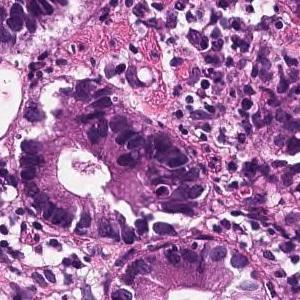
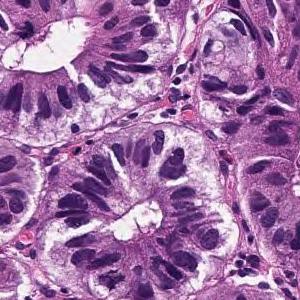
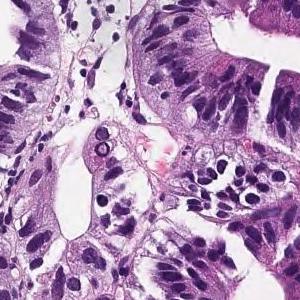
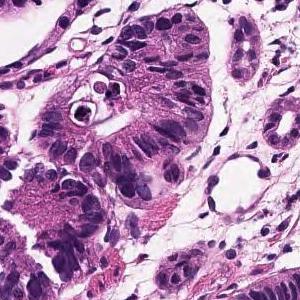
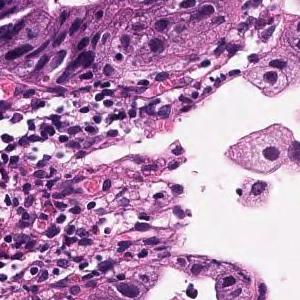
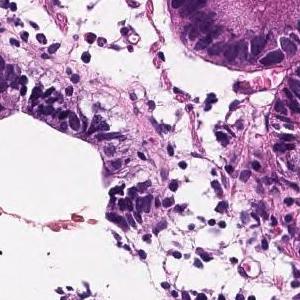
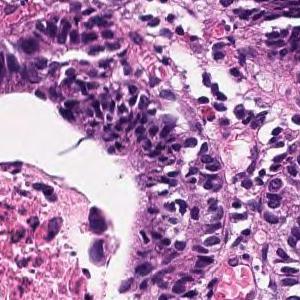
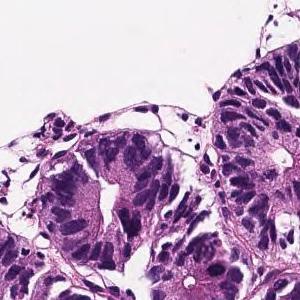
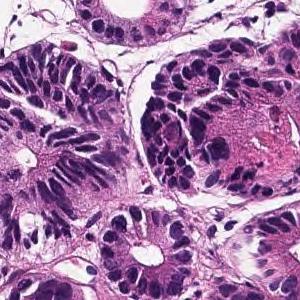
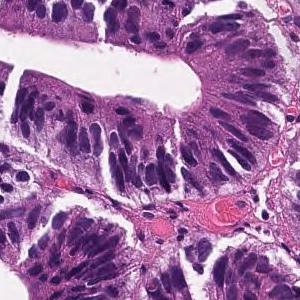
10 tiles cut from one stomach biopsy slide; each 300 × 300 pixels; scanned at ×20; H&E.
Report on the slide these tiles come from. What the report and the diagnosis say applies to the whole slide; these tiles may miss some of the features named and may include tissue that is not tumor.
Atypical epithelial cells form glandular cavities and proliferate. Well differentiated tubular adenocarcinoma
